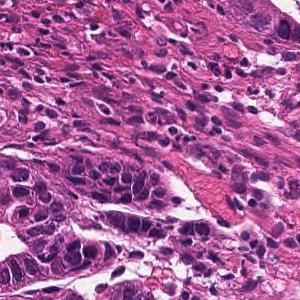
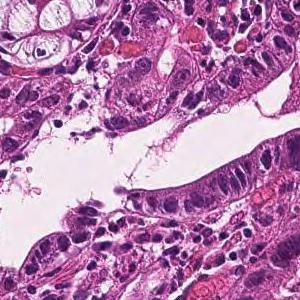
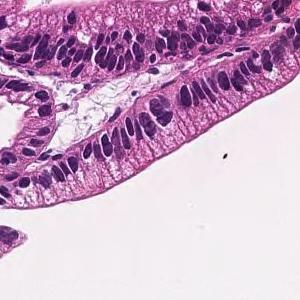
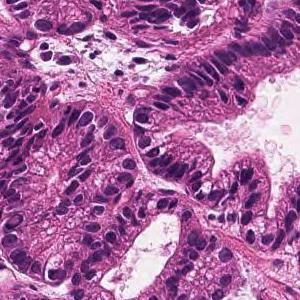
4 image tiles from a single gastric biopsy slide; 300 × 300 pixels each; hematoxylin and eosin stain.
Report on the slide these tiles come from. Both the report and the diagnosis are for the whole slide: these tiles need not show every feature named, and some of the tissue shown may not be tumor.
In the superficial epithelium, tumor tissue that invades by forming medium-sized to small, irregular ducts is observed. moderately differentiated tubular adenocarcinoma.
